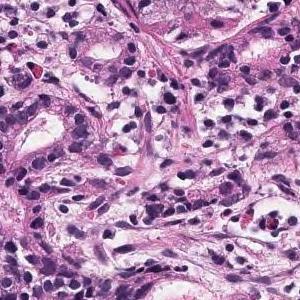
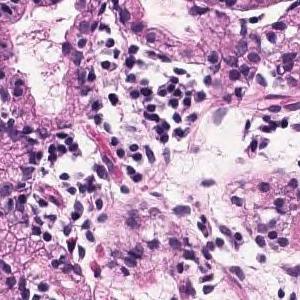
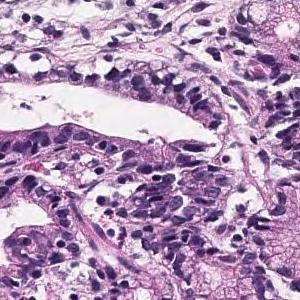
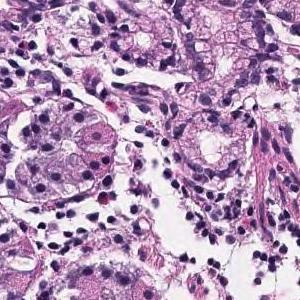
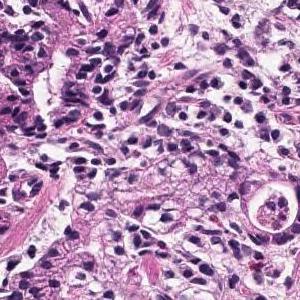
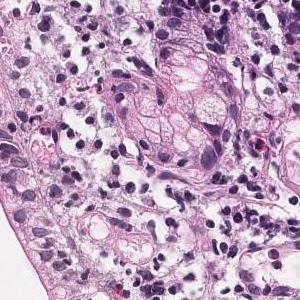
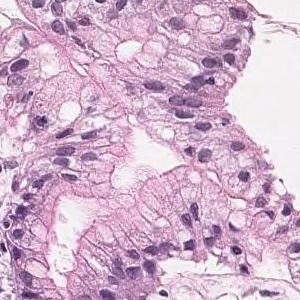
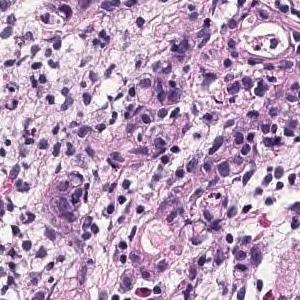
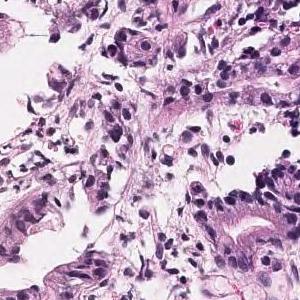
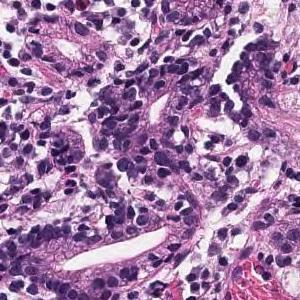
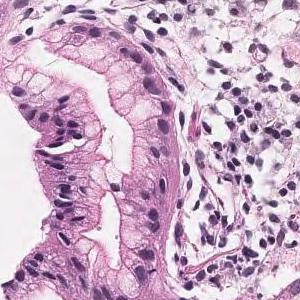
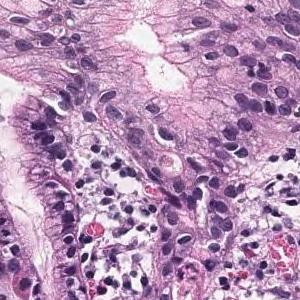
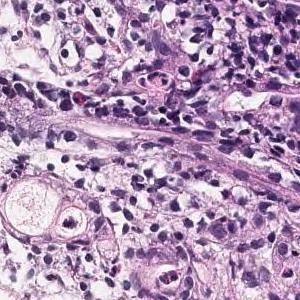
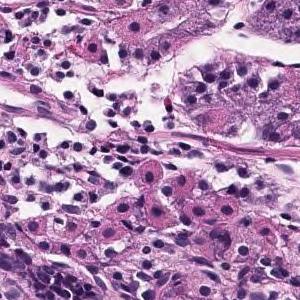
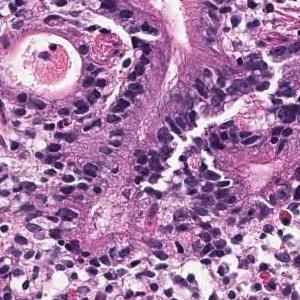
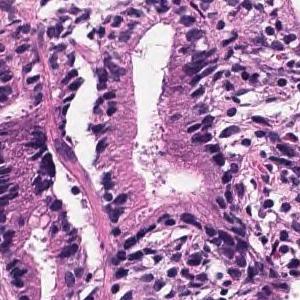
16 tiles from the same stomach biopsy slide; each 300 × 300 pixels; 20× magnification; hematoxylin and eosin stain.
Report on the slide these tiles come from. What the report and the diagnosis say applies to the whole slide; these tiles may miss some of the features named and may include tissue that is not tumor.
Tumor tissue that grows and grows is observed, showing a medium-sized round or irregular duct. moderately differentiated tubular adenocarcinoma
